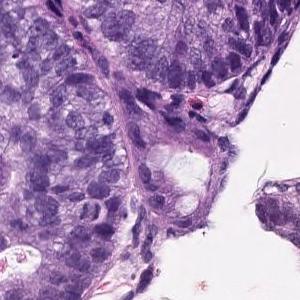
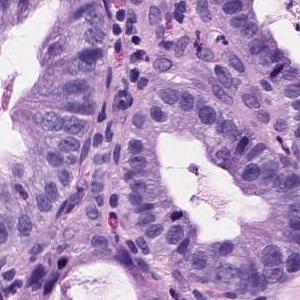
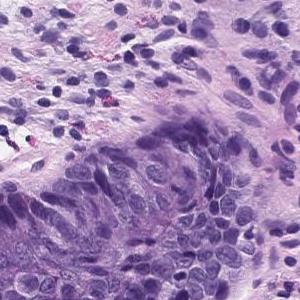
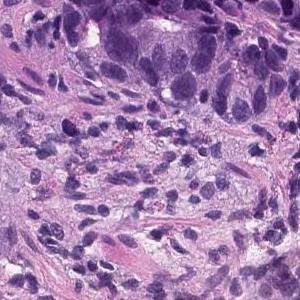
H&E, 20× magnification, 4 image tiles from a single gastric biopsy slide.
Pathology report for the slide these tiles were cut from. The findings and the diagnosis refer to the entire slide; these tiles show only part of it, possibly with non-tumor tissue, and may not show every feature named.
Tumor tissue consisting of medium-sized and irregular ducts is observed infiltrating in the superficial epithelium. Tumor cells are highly columnar, with nuclei aligned basolaterally and polarized. Well differentiated tubular adenocarcinoma.
